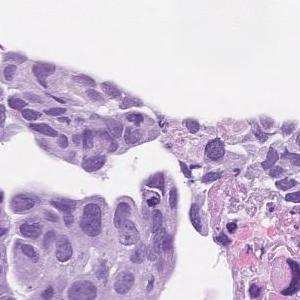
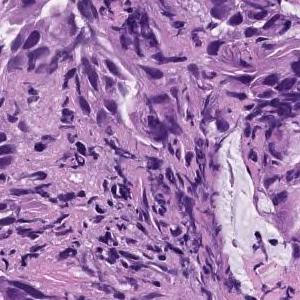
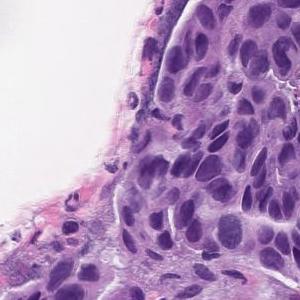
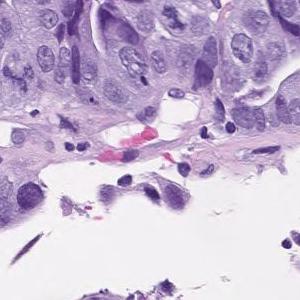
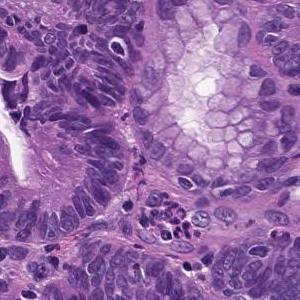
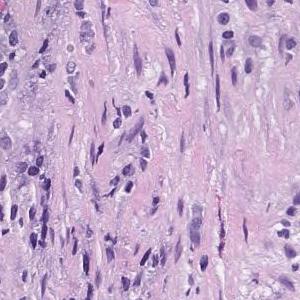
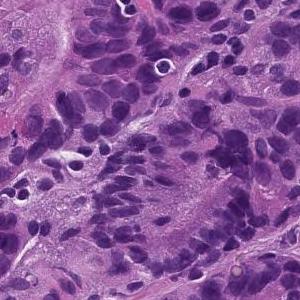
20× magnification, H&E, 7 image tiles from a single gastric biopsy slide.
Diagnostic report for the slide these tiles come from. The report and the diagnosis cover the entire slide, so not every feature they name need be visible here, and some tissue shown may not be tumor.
In the superficial epithelium, tumor tissue that invades by forming medium-sized to small, irregular ducts is observed. moderately differentiated tubular adenocarcinoma.
